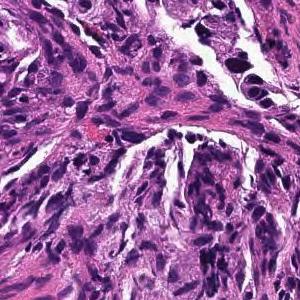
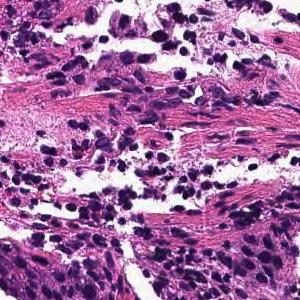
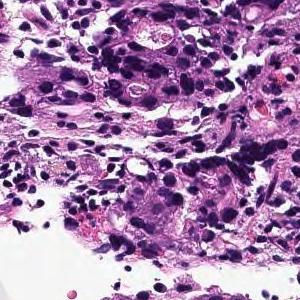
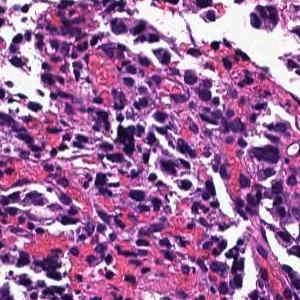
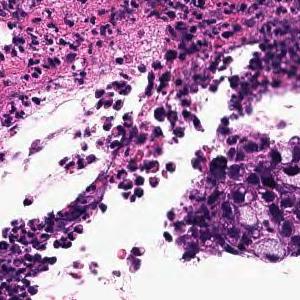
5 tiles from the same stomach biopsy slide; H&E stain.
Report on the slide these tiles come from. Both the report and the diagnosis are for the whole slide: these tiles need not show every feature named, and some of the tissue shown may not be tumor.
In the superficial epithelium, tumor tissue that invades by forming medium-sized to small, irregular ducts is observed. moderately differentiated tubular adenocarcinoma.
